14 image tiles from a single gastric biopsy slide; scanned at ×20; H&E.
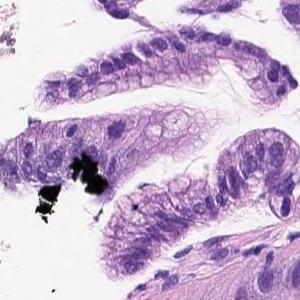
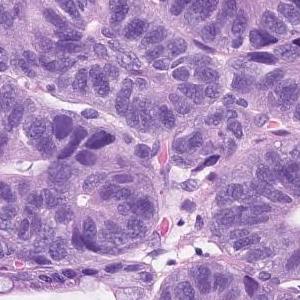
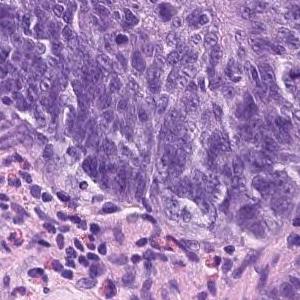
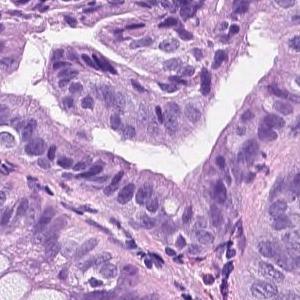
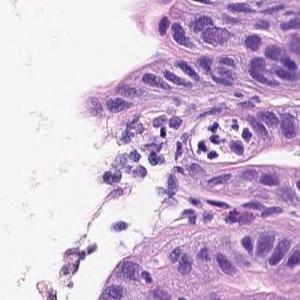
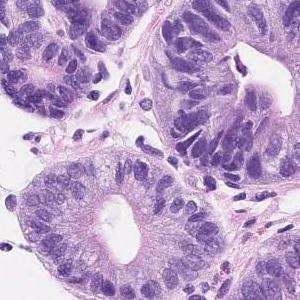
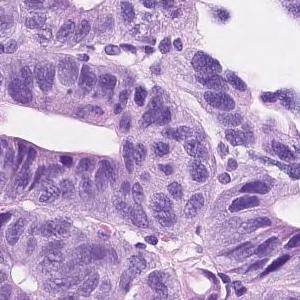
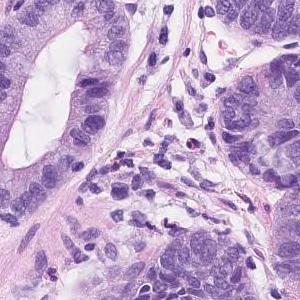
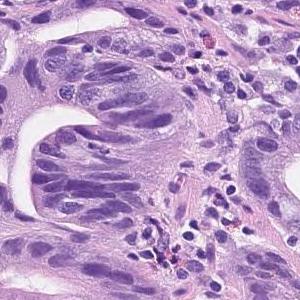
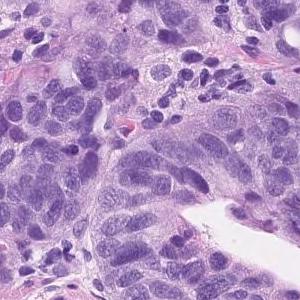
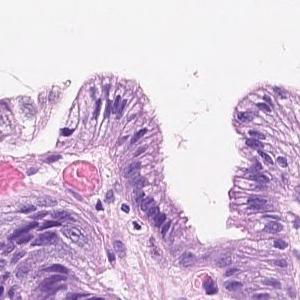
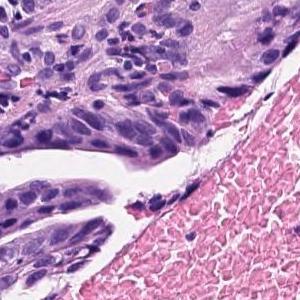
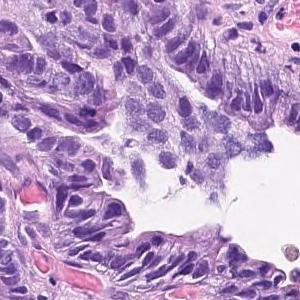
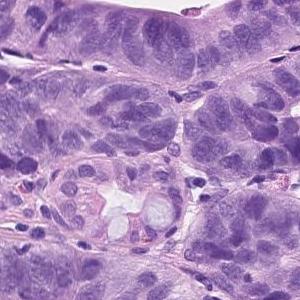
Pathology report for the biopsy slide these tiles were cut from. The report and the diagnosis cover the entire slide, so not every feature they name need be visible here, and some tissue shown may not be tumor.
Tumor tissue consisting of medium-sized and irregular ducts is observed infiltrating in the superficial epithelium. Tumor cells are highly columnar, with nuclei aligned basolaterally and polarized. Well differentiated tubular adenocarcinoma.
